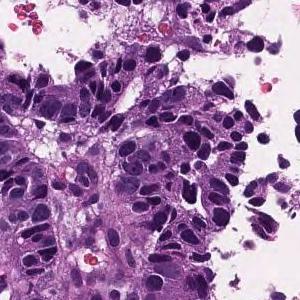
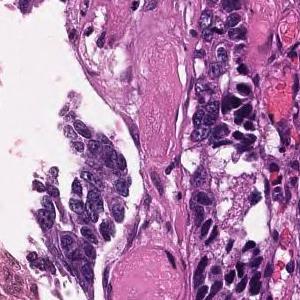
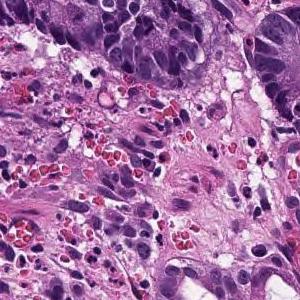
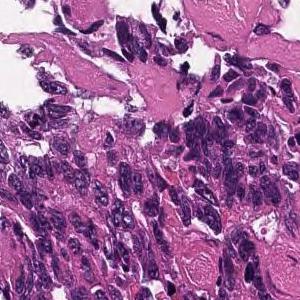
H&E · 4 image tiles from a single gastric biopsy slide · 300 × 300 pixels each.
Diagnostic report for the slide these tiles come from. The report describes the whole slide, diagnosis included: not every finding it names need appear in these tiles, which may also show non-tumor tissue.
Tumor tissue consisting of large, irregular glandular ducts, centered on the submucosa, infiltrated by fusion with each other is observed. Well to moderately differentiated tubular adenocarcinoma (well differentiated tubular adenocarcinoma-moderately differentiated tubular adenocarcinoma)
Subtype: Well to moderately differentiated tubular adenocarcinoma.
